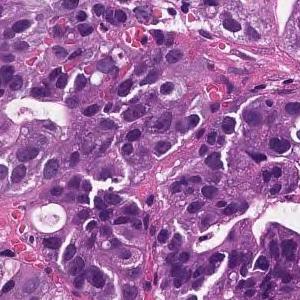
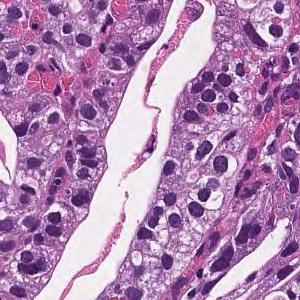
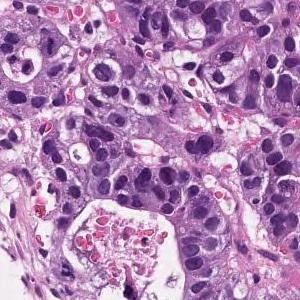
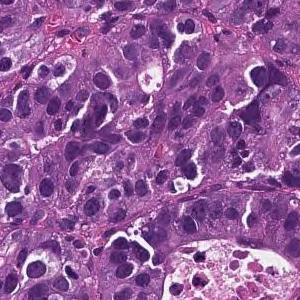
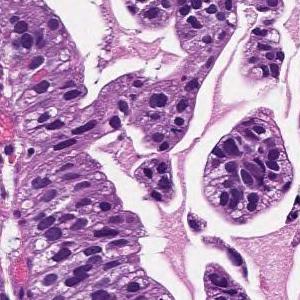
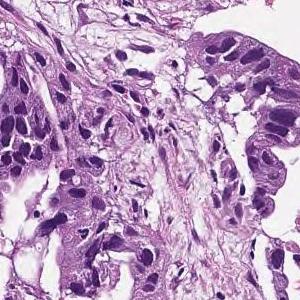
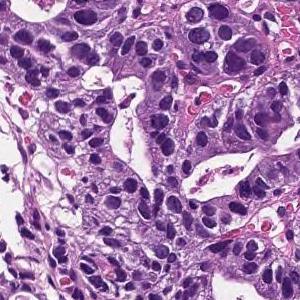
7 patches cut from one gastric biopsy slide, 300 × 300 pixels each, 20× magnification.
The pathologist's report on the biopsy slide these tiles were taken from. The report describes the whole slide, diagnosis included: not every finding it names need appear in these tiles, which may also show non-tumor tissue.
On the superficial epithelium, tumor tissue consisting of large, irregular glandular ducts partially fused and infiltrated is observed. Well to moderately differentiated tubular adenocarcinoma (well differentiated tubular adenocarcinoma, moderately differentiated tubular adenocarcinoma)
Histologic type: Well to moderately differentiated tubular adenocarcinoma.
